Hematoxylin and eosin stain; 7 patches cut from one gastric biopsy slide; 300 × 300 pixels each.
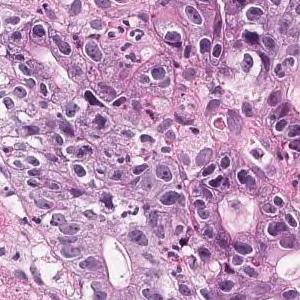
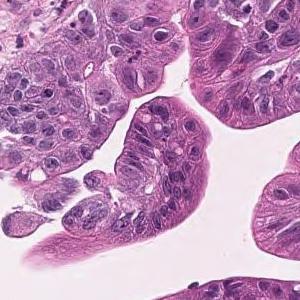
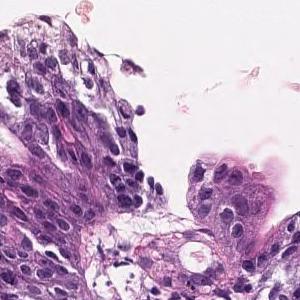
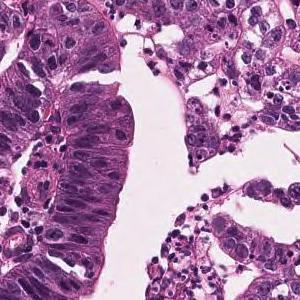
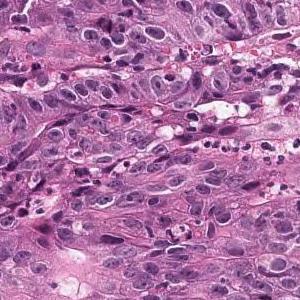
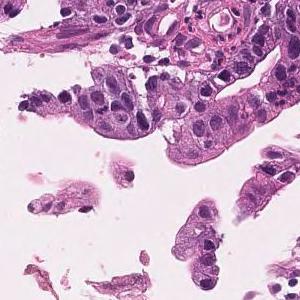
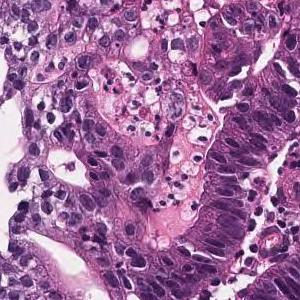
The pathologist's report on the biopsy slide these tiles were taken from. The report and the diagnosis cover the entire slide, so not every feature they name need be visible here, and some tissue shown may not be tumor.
In the superficial epithelium, tumor tissue that invades by forming medium-sized to small, irregular ducts is observed. Well differentiated tubular adenocarcinoma.
